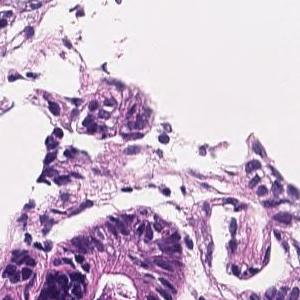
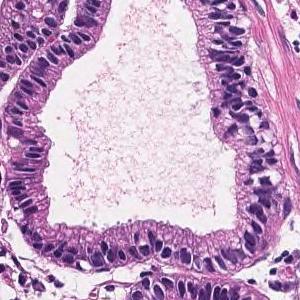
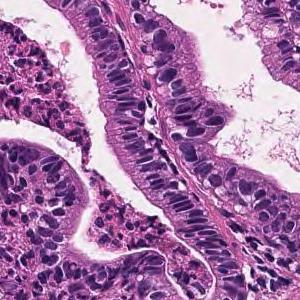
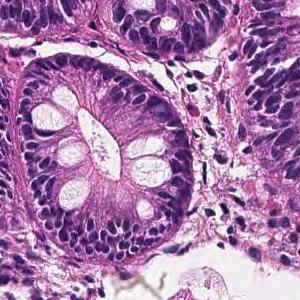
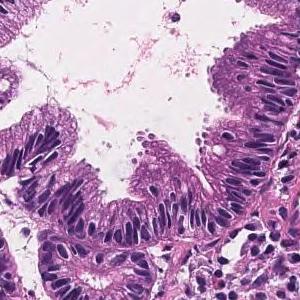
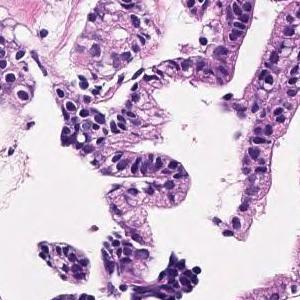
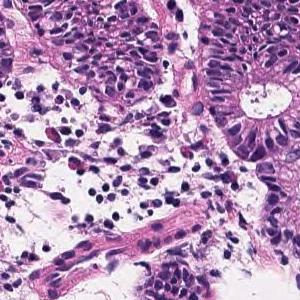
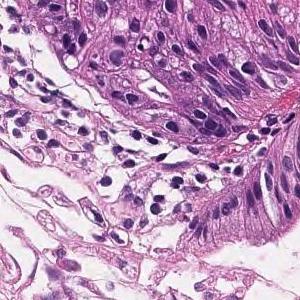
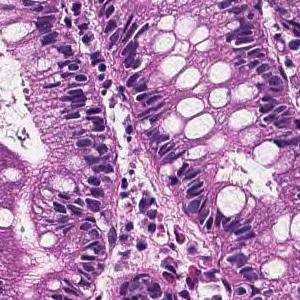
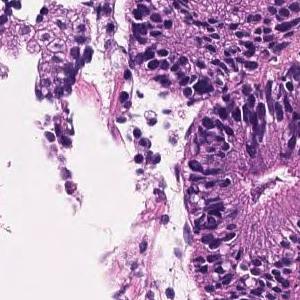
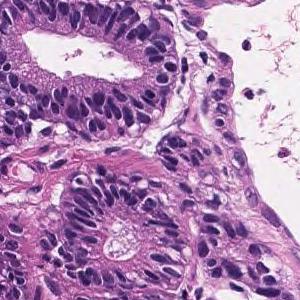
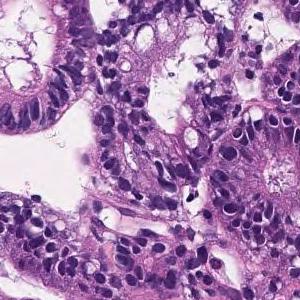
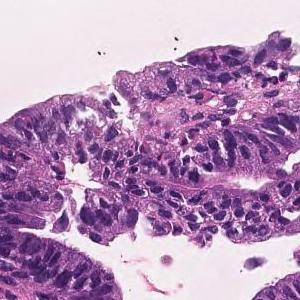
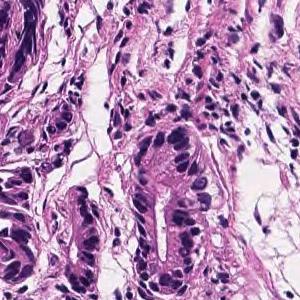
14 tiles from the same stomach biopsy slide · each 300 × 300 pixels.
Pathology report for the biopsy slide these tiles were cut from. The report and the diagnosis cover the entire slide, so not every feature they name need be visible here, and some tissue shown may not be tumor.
Most remain in the superficial epithelium, forming medium-sized papillary or small irregular ducts and proliferating, and some tumor tissue invades the muscularis mucosae. Papillary adenocarcinoma
